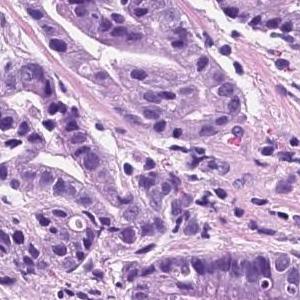
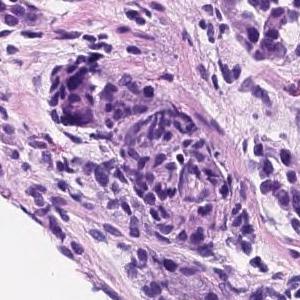
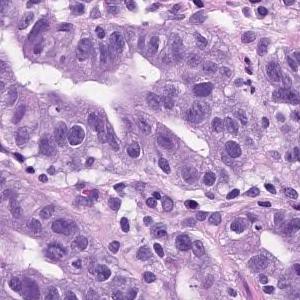
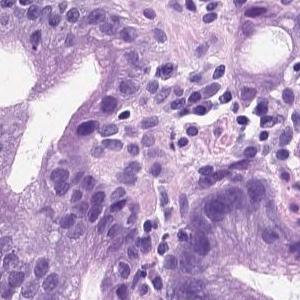
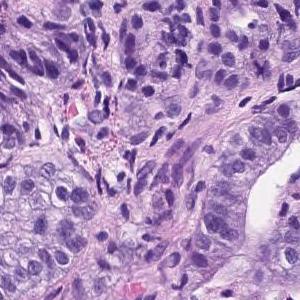
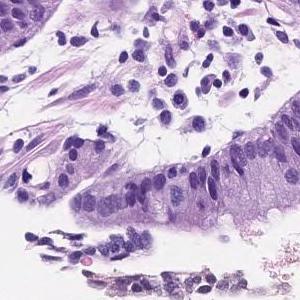
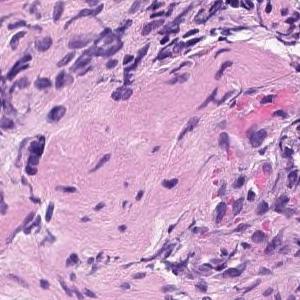
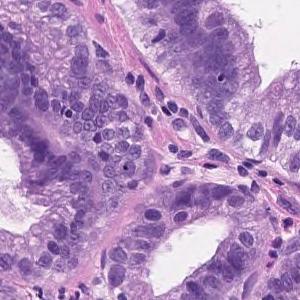
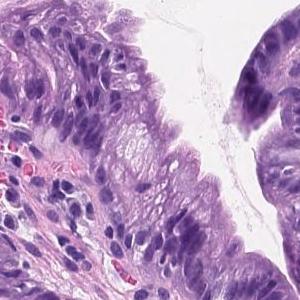
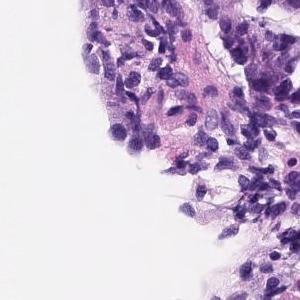
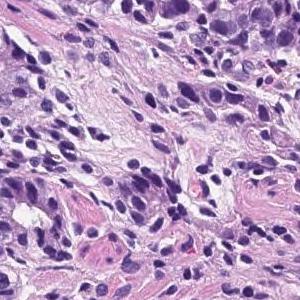
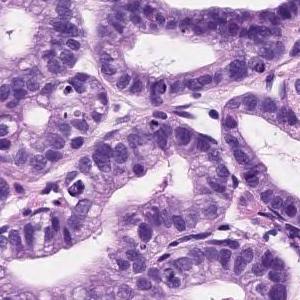
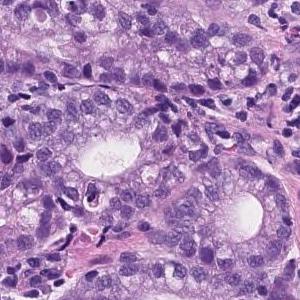
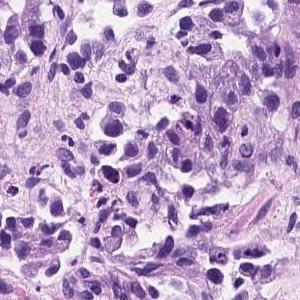
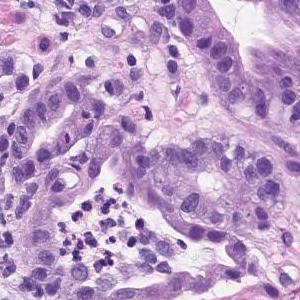
15 tiles cut from one stomach biopsy slide; ×20.
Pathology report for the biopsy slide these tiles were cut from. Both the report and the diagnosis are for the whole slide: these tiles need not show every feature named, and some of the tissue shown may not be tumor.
Tumor tissue consisting of medium-sized and irregular ducts is observed infiltrating in the superficial epithelium. Tumor cells are highly columnar, with nuclei aligned basolaterally and polarized. Well differentiated tubular adenocarcinoma.
